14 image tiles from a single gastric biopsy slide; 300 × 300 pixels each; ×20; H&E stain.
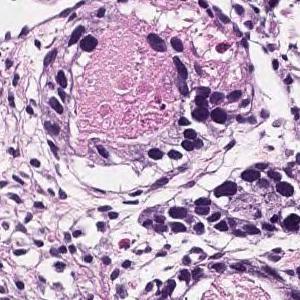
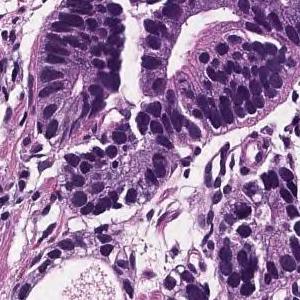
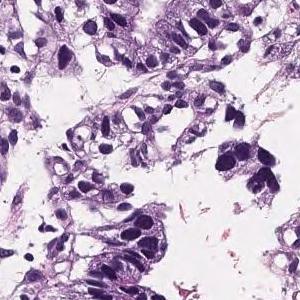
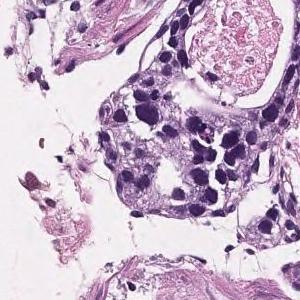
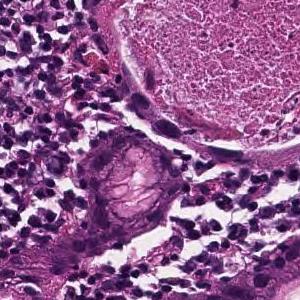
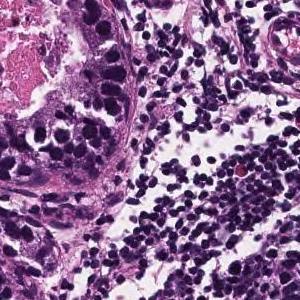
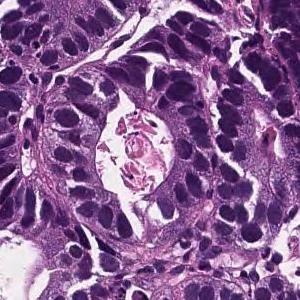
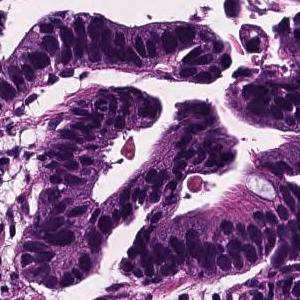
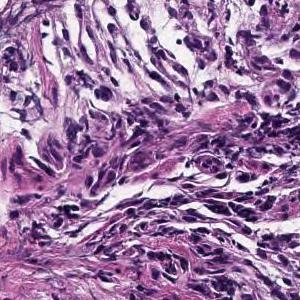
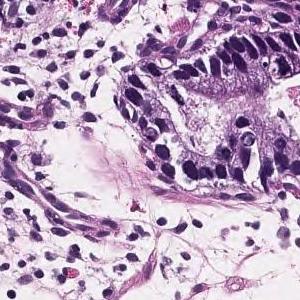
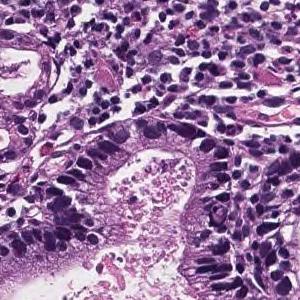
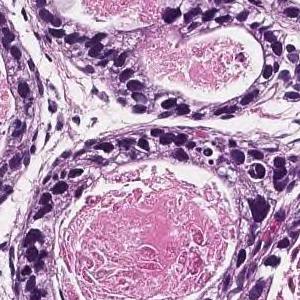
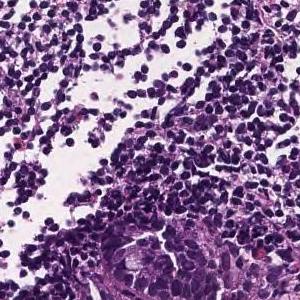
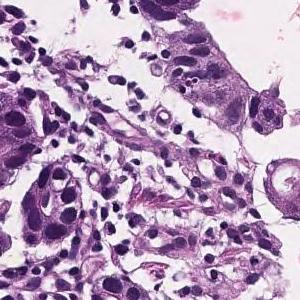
Report on the slide these tiles come from. Both the report and the diagnosis are for the whole slide: these tiles need not show every feature named, and some of the tissue shown may not be tumor.
In the superficial epithelium, tumor tissue that invades by forming medium-sized to small, irregular ducts is observed. Well differentiated tubular adenocarcinoma.
